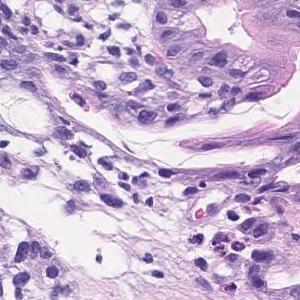
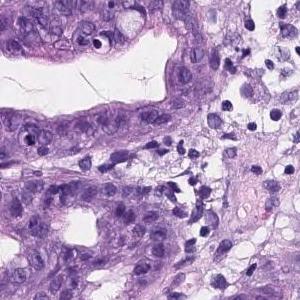
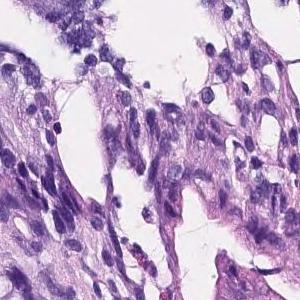
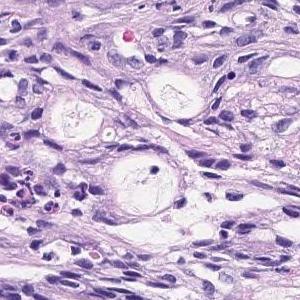
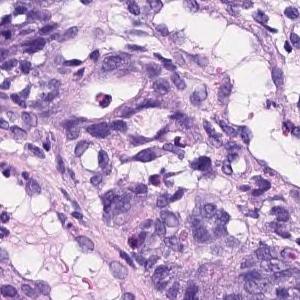
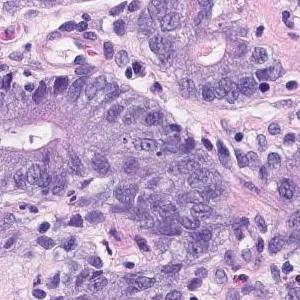
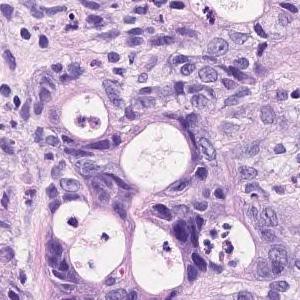
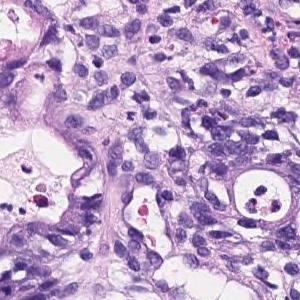
8 tiles from the same stomach biopsy slide · 300 × 300 pixels each · ×20.
Pathology report for the slide these tiles were cut from. The report and the diagnosis describe the slide as a whole, so these tiles may not show every feature named and may include non-tumor tissue.
Irregularly fused atypical ducts proliferating while replacing existing ducts was observed. moderately differentiated tubular adenocarcinoma
